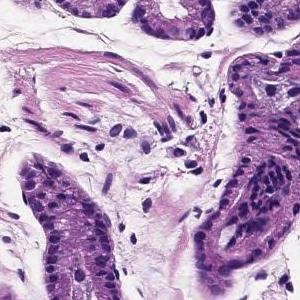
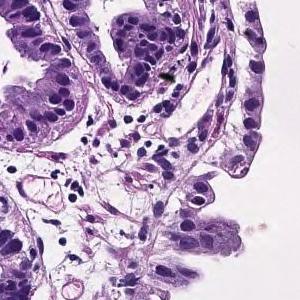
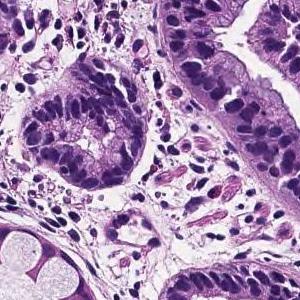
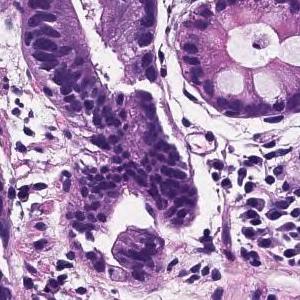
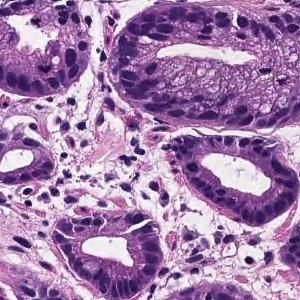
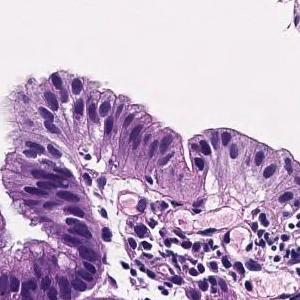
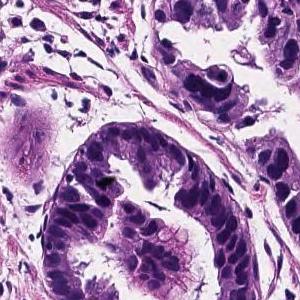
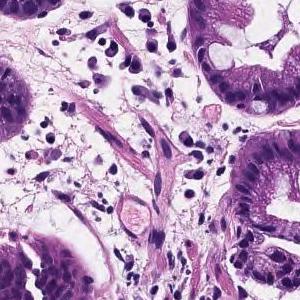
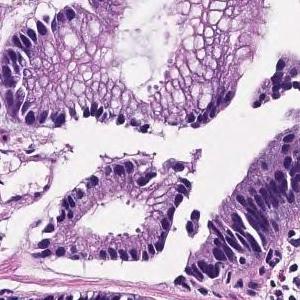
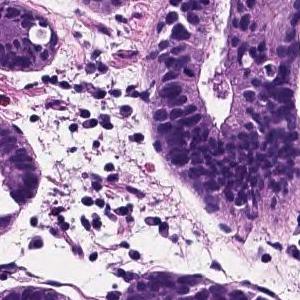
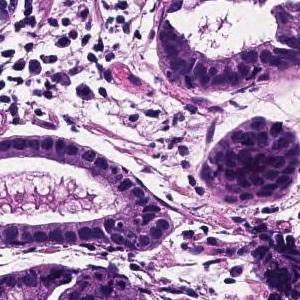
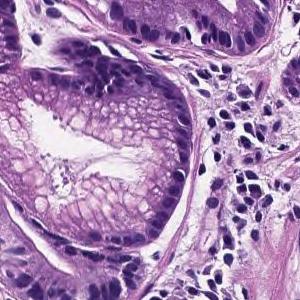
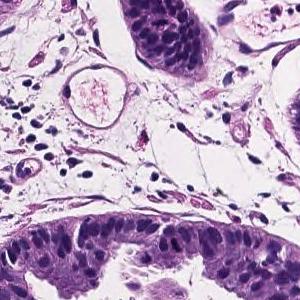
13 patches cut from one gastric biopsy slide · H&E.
Report on the slide these tiles come from. The findings and the diagnosis refer to the entire slide; these tiles show only part of it, possibly with non-tumor tissue, and may not show every feature named.
Tumor cells are large, highly columnar, large club-shaped nuclei, and are associated with chromatin aggregation. Papillary adenocarcinoma.
